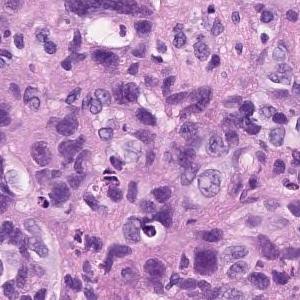
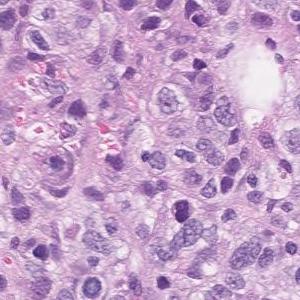
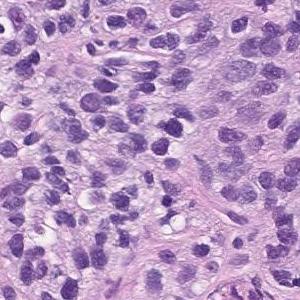
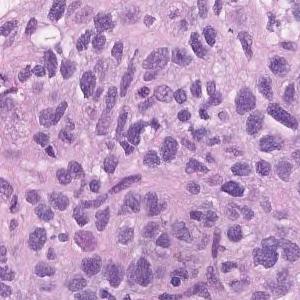
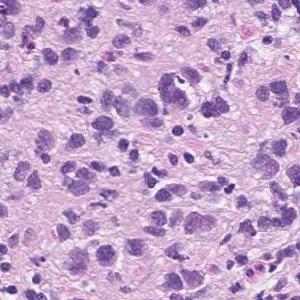
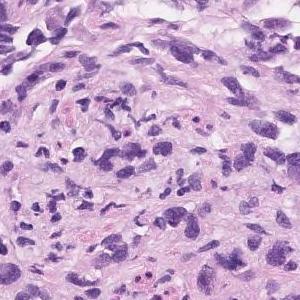
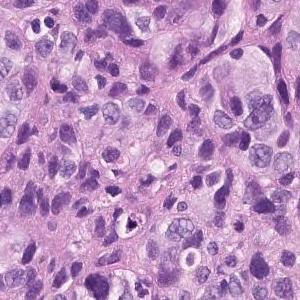
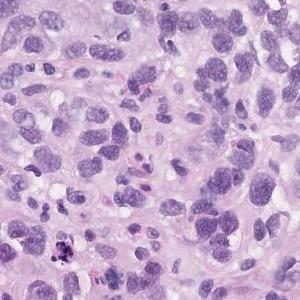
20× magnification, hematoxylin and eosin stain, 8 image tiles from a single gastric biopsy slide, 300×300 px each.
Diagnostic report for the slide these tiles come from. The report describes the whole slide, diagnosis included: not every finding it names need appear in these tiles, which may also show non-tumor tissue.
Atypical l cells with atypical nuclei under the mucosa growing in isolation and scattered. Poorly differentiated adenocarcinoma (poorly differentiated adenocarcinoma, non-solid type)
Subtype: Poorly differentiated adenocarcinoma, non-solid type.
The term "non-solid type" comes from the Japanese Classification of Gastric Carcinoma.
